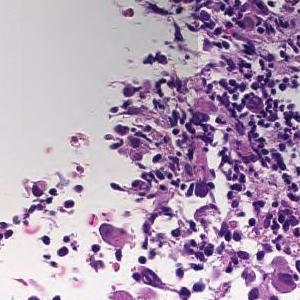
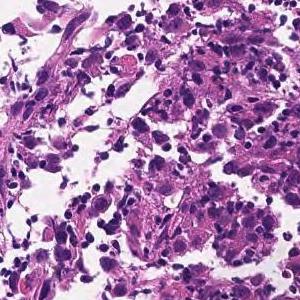
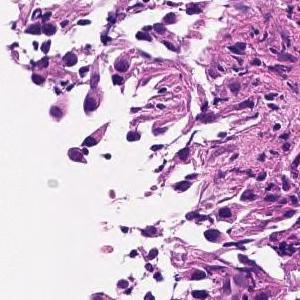
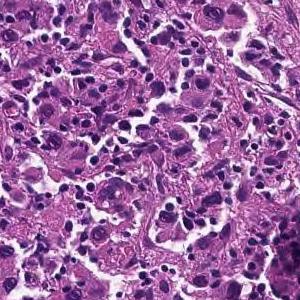
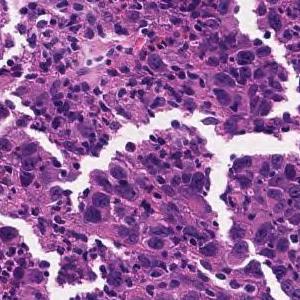
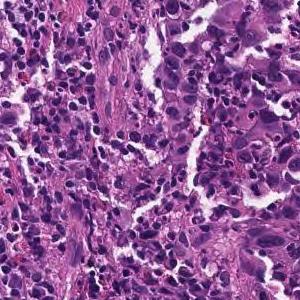
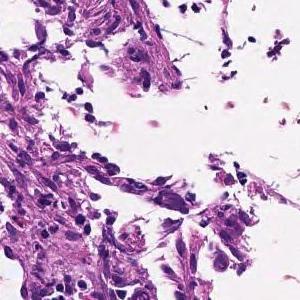
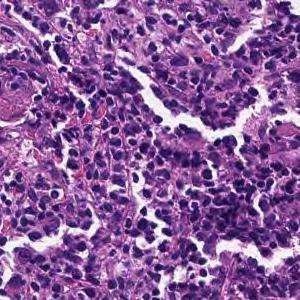
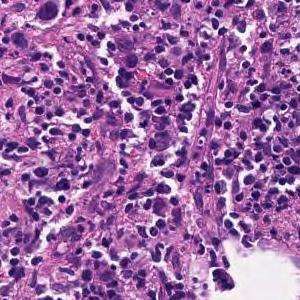
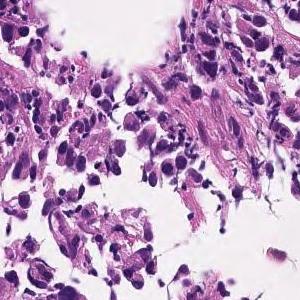
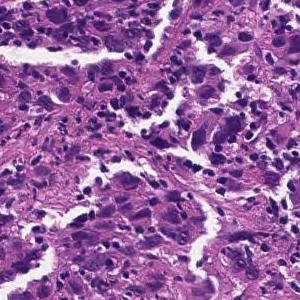
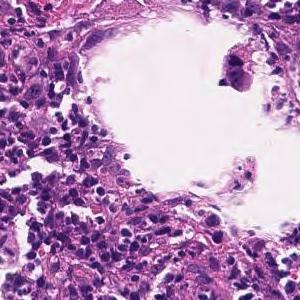
Hematoxylin and eosin stain · ×20 · 12 image tiles from a single gastric biopsy slide.
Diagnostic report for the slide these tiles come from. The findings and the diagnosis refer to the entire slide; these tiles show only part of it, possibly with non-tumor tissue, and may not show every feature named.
The superficial epithelium shows a large sheet-like shape, and some tumor tissue infiltrates with small irregular ducts. Poorly differentiated adenocarcinoma, solid-type (poorly differentiated adenocarcinoma, solid type)
Classified as poorly differentiated adenocarcinoma, solid type, a category of the Japanese Classification of Gastric Carcinoma; in the WHO 2019 classification it is tubular adenocarcinoma, poorly differentiated.
